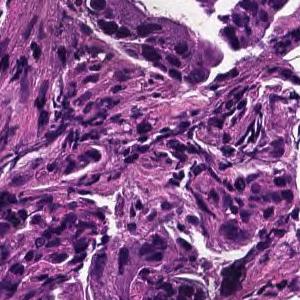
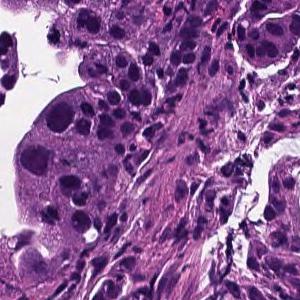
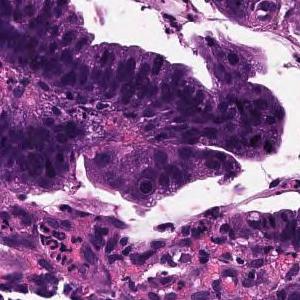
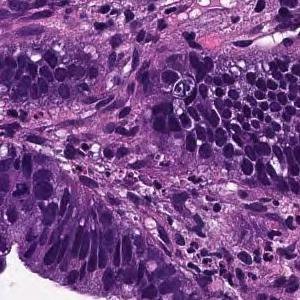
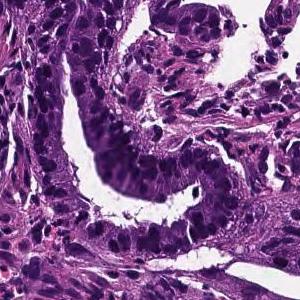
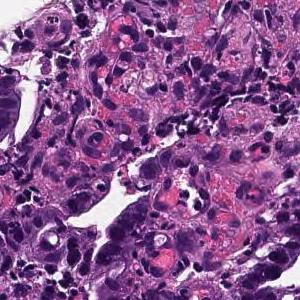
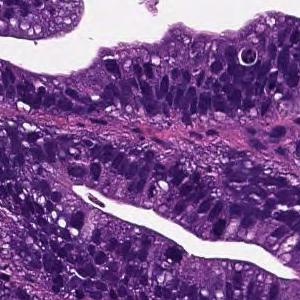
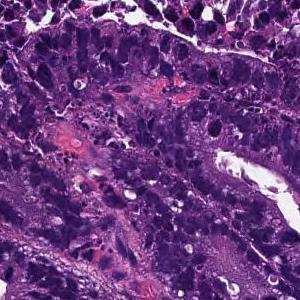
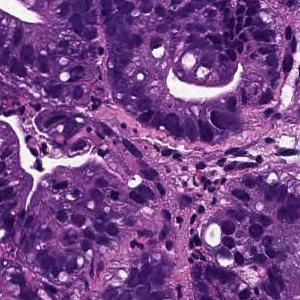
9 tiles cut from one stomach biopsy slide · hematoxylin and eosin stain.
Pathology report for the biopsy slide these tiles were cut from. The findings and the diagnosis refer to the entire slide; these tiles show only part of it, possibly with non-tumor tissue, and may not show every feature named.
Tumor cells are large, highly columnar, large club-shaped nuclei, and are associated with chromatin aggregation. Papillary adenocarcinoma.
